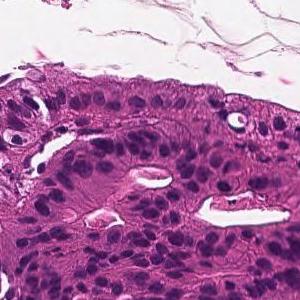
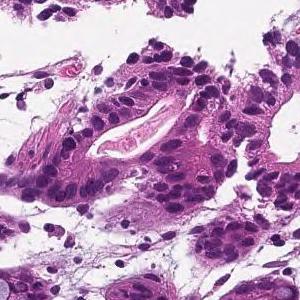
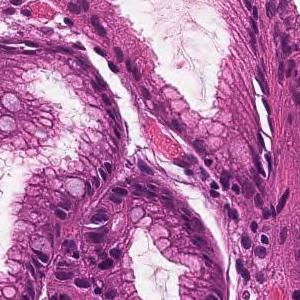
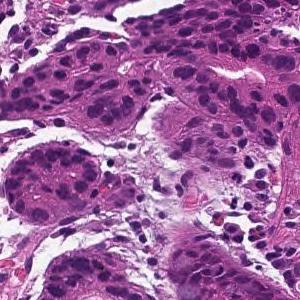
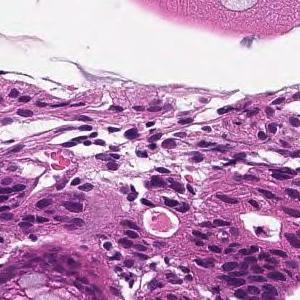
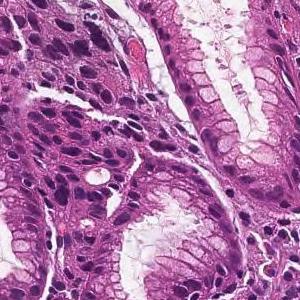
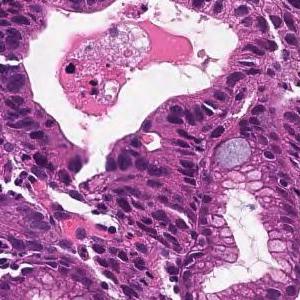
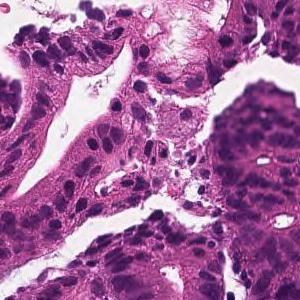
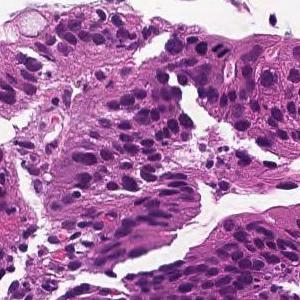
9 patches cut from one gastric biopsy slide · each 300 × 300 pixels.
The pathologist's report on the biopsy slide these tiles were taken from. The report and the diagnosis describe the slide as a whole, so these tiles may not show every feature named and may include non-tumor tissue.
In the superficial epithelium, tumor tissue that invades by forming medium-sized to small, irregular ducts is observed. moderately differentiated tubular adenocarcinoma.
